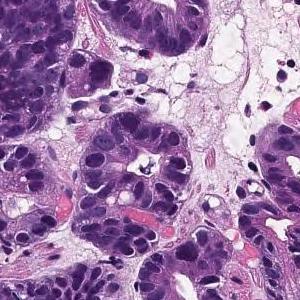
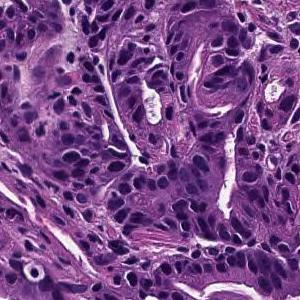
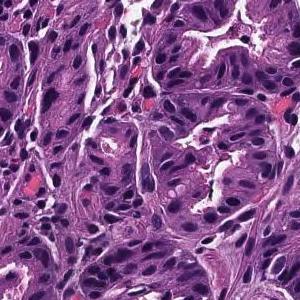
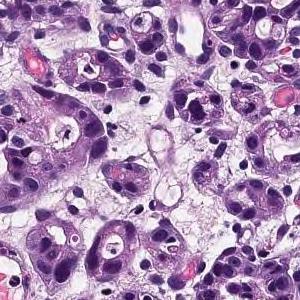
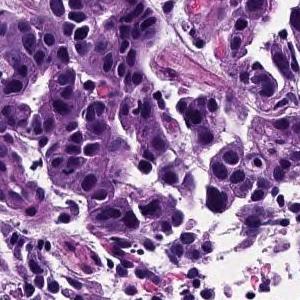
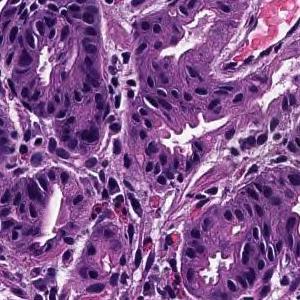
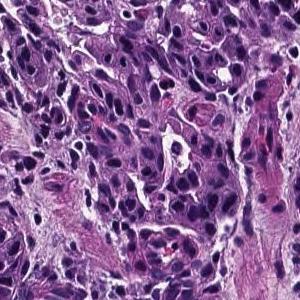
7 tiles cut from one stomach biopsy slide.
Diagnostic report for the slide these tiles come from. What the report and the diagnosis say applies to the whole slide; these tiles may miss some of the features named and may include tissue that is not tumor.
From the superficial epithelium to the muscularis mucosae, tumor tissue consisting of medium-sized and irregular glandular ducts infiltrating is observed. Well differentiated tubular adenocarcinoma
